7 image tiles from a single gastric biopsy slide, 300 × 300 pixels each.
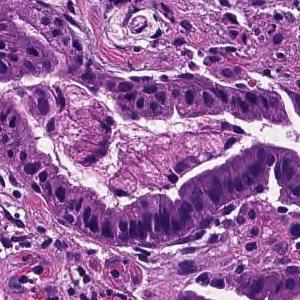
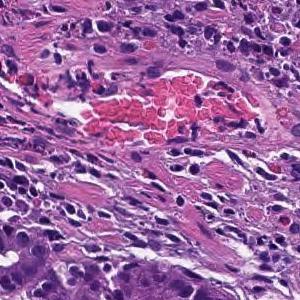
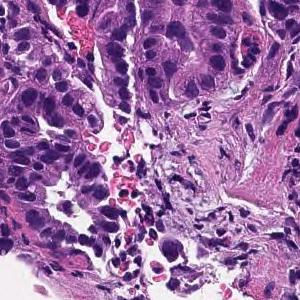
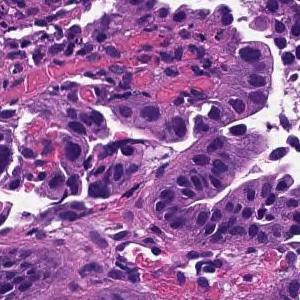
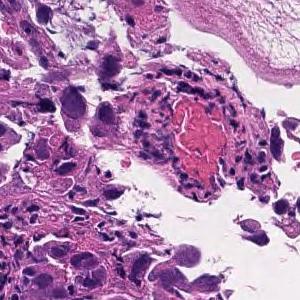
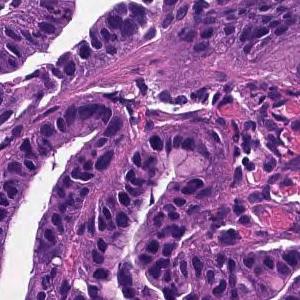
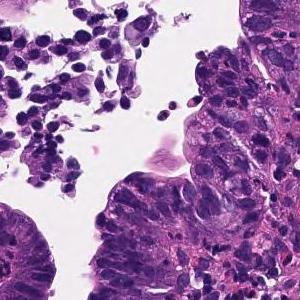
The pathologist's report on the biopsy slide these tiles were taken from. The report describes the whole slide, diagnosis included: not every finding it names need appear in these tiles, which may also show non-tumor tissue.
Tumor tissue consisting of medium-sized, cord-like or irregular glandular infiltration is observed in the superficial epithelium. Poorly differentiated adenocarcinoma, non-solid type or moderately differentiated tubular adenocarcinoma
Subtype: Moderately to poorly differentiated adenocarcinoma.
The term "non-solid type" comes from the Japanese Classification of Gastric Carcinoma.
